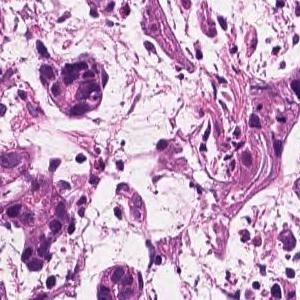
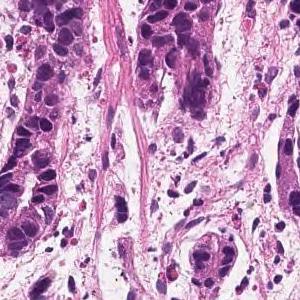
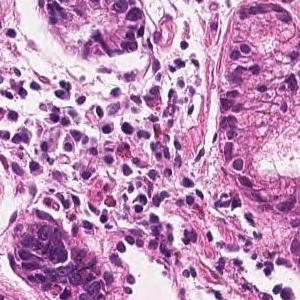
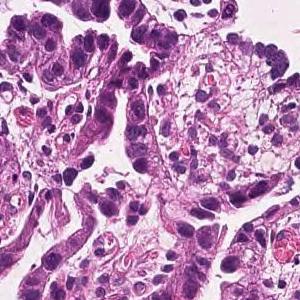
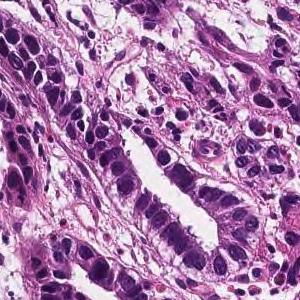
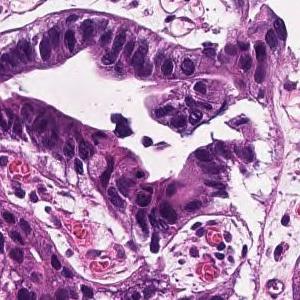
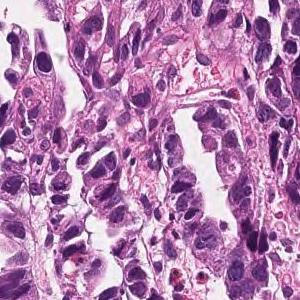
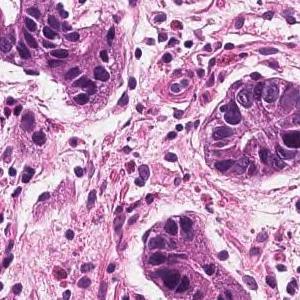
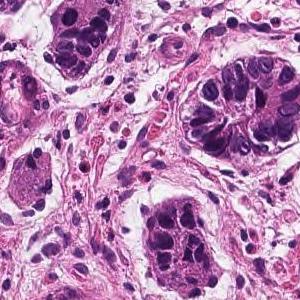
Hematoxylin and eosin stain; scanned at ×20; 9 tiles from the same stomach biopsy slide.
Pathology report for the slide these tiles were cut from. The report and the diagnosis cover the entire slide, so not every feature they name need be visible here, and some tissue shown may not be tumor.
In the superficial epithelium, tumor tissue that invades by forming medium-sized to small, irregular ducts is observed. Well differentiated tubular adenocarcinoma.
